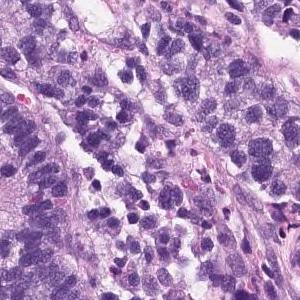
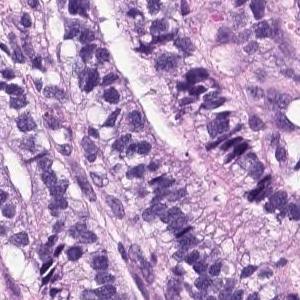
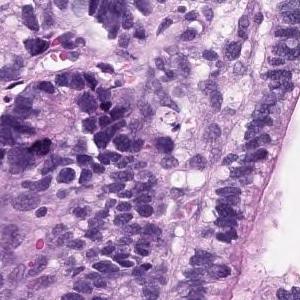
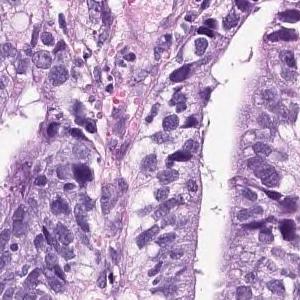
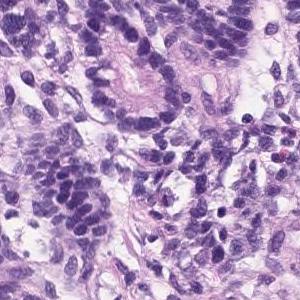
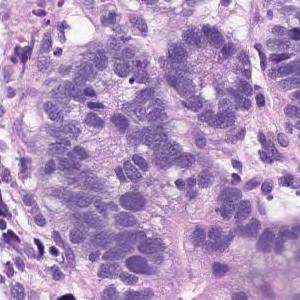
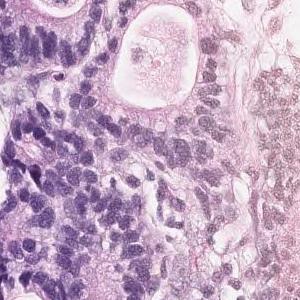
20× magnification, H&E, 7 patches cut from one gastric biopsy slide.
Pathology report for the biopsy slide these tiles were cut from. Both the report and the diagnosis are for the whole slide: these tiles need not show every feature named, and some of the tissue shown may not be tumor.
Hyperplasia of atypical epithelial cells with swelling of the nucleus is observed. Moderately diffentiated tubular adenocarcinoma
Classified as moderately differentiated tubular adenocarcinoma.
